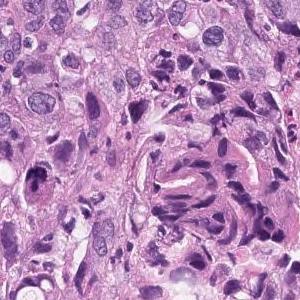
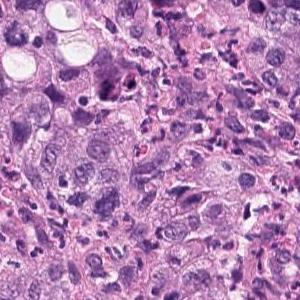
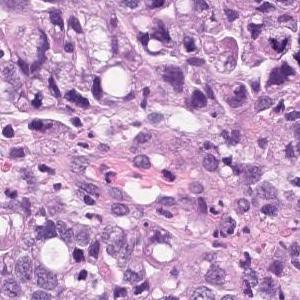
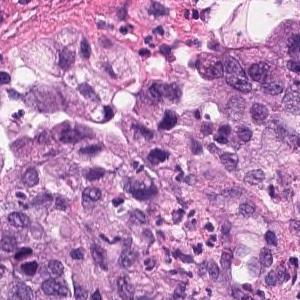
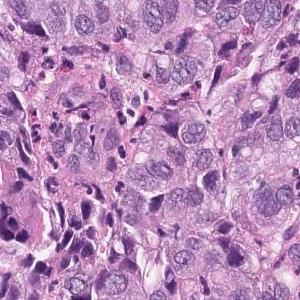
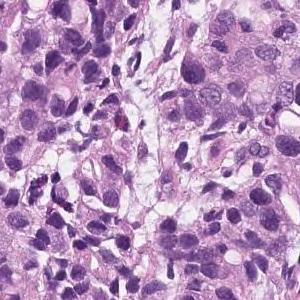
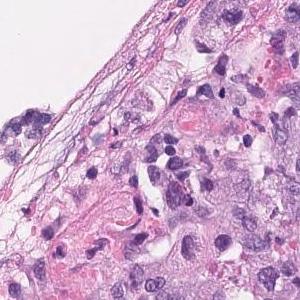
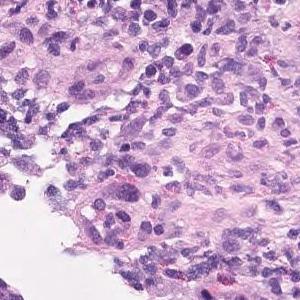
8 image tiles from a single gastric biopsy slide; 300×300 px each; H&E; scanned at ×20.
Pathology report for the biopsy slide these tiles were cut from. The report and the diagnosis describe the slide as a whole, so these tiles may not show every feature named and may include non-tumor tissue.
Group 5, Adenocarcinoma. Poorly differentiated adenocarcinoma, non-solid type
The non-solid type named here is a Japanese Classification of Gastric Carcinoma category.
